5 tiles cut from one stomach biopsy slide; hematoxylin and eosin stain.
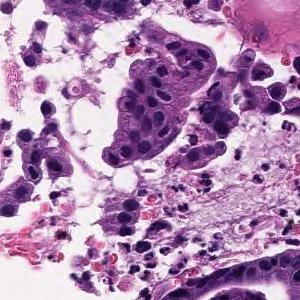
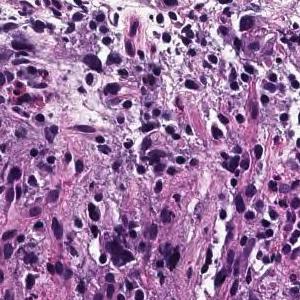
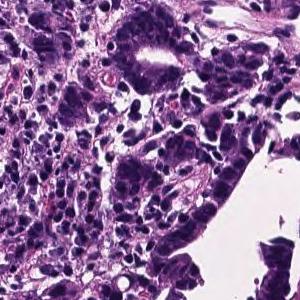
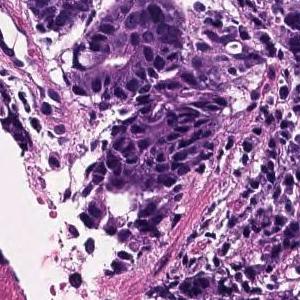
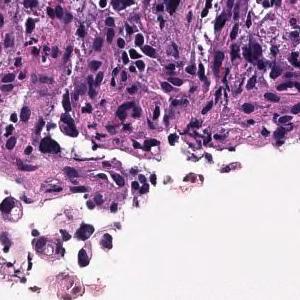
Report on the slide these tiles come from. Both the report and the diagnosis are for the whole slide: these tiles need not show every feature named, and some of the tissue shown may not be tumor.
In the superficial epithelium, tumor tissue that invades by forming medium-sized to small, irregular ducts is observed. moderately differentiated tubular adenocarcinoma.
